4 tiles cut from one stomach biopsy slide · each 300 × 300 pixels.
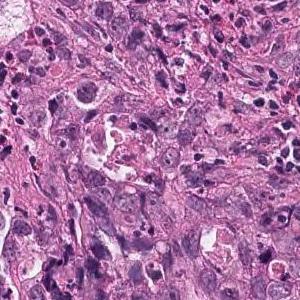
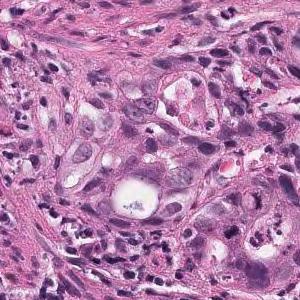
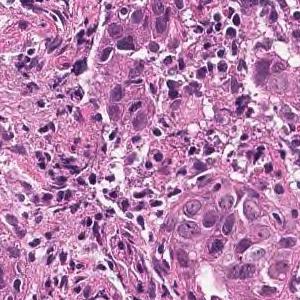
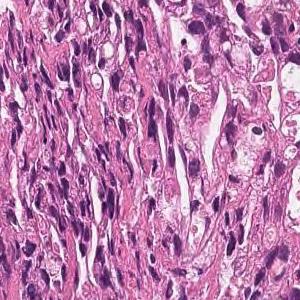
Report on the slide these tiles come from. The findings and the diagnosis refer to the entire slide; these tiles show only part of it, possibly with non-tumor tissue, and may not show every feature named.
Tumor tissue that infiltrates and proliferates with alveolar or cord-like structures with small glandular cavities in the superficial to submucosal layers is observed. moderately differentiated tubular adenocarcinoma
